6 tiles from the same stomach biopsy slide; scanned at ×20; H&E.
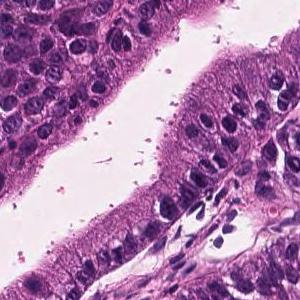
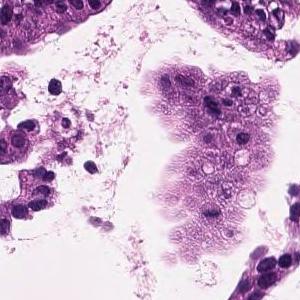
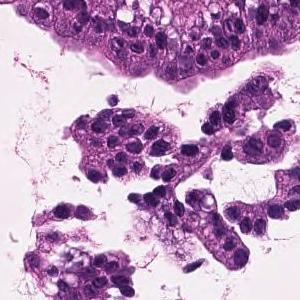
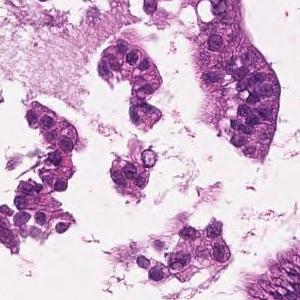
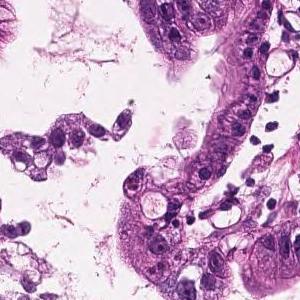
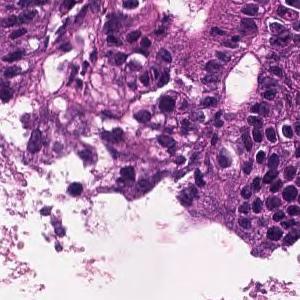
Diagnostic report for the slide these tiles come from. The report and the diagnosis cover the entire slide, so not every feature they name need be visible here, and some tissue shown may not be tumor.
On the superficial epithelium, tumor tissue that infiltrates by forming medium-sized papillary or small irregular ducts is observed. Papillary adenocarcinoma
